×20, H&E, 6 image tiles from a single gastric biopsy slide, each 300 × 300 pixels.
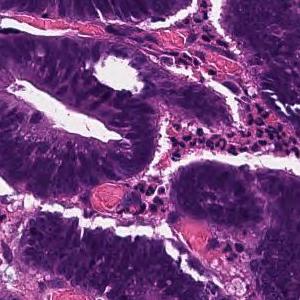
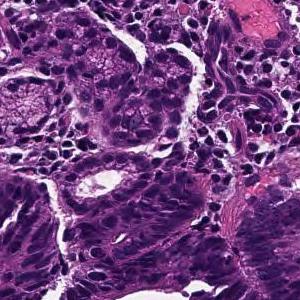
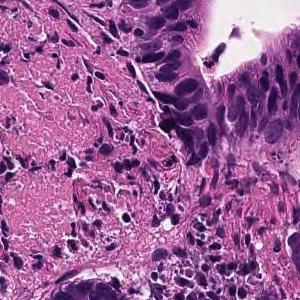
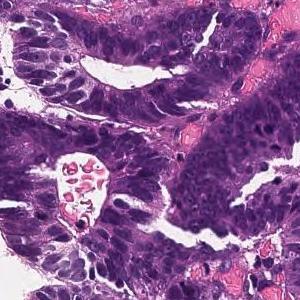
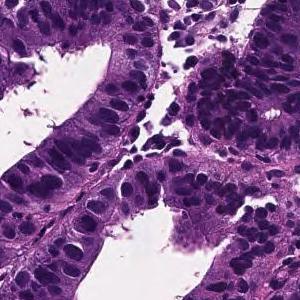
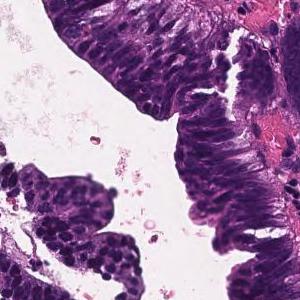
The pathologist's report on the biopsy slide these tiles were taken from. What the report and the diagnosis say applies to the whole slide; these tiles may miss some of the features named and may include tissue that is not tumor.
Tumor tissue consisting of large papillary structures is found in the superficial epithelium. Papillary adenocarcinoma.
